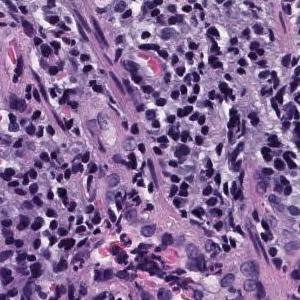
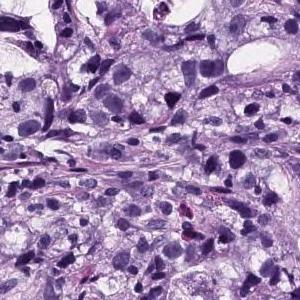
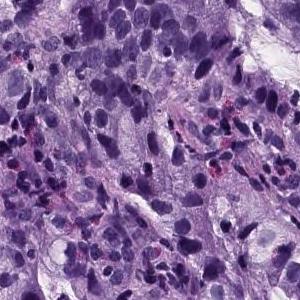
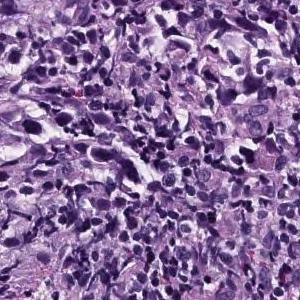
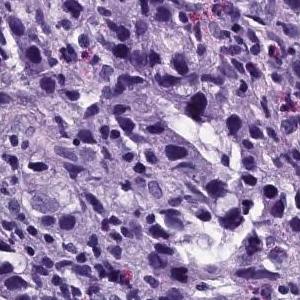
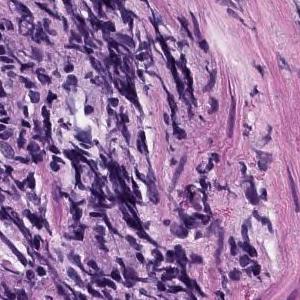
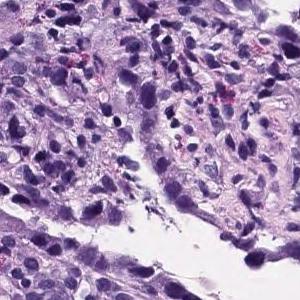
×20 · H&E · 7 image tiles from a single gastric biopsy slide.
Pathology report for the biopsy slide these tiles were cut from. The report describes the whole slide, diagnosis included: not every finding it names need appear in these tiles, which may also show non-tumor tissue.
Atypical epithelial cells infiltrating and proliferating while forming solid or cord-like fused glandular cavities of different sizes is observed. moderately differentiated tubular adenocarcinoma, poorly differentiated adenocarcinoma.
Histological subtype: Moderately to poorly differentiated adenocarcinoma.
